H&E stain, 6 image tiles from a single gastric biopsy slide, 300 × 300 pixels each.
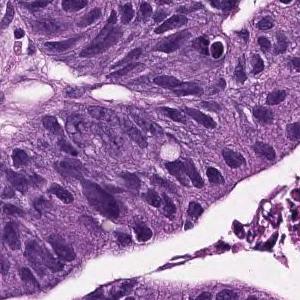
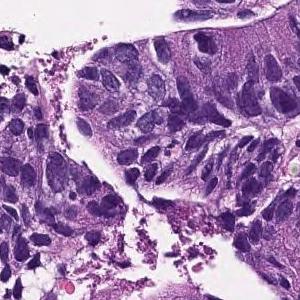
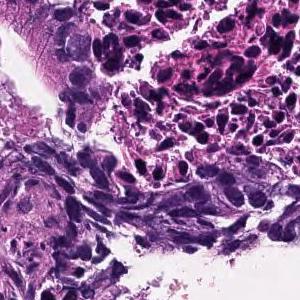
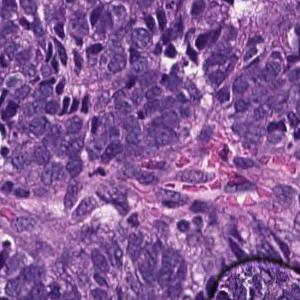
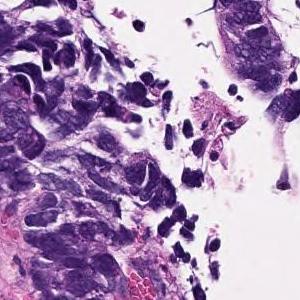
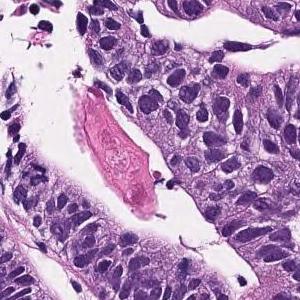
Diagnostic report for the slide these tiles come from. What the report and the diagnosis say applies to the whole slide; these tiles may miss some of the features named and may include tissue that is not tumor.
In the superficial epithelium, tumor tissue that invades by forming medium-sized to small, irregular ducts is observed. moderately differentiated tubular adenocarcinoma.
